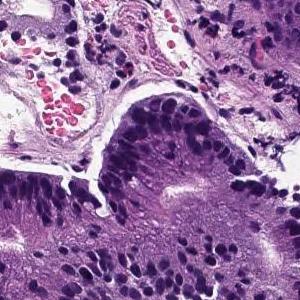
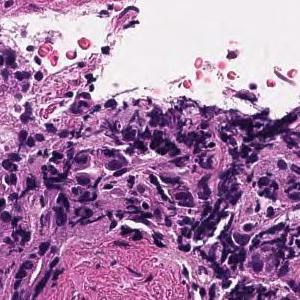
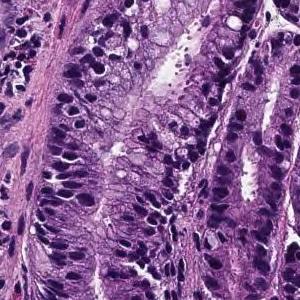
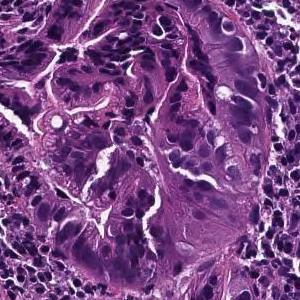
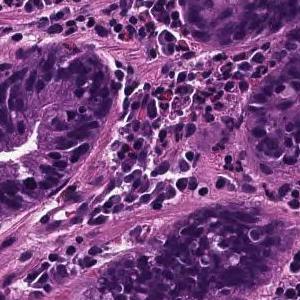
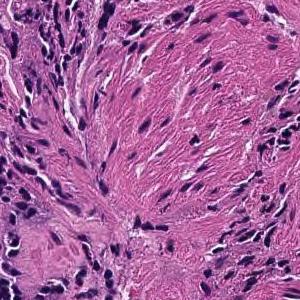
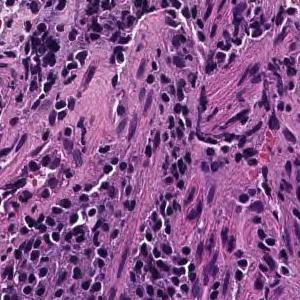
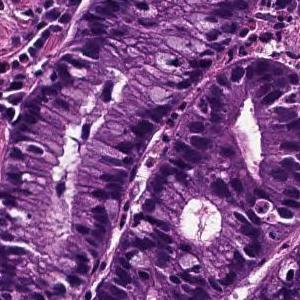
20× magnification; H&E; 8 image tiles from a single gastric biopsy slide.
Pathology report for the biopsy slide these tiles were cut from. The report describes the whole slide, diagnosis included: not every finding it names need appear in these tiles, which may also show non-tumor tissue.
From the superficial epithelium to the muscularis mucosae, tumor tissue consisting of medium-sized and irregular glandular ducts infiltrating is observed. Well differentiated tubular adenocarcinoma
